12 patches cut from one gastric biopsy slide · 300 × 300 pixels each · scanned at ×20 · H&E stain.
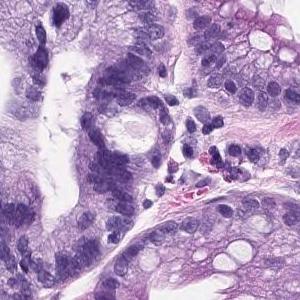
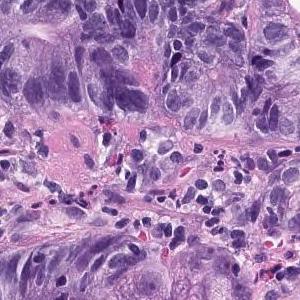
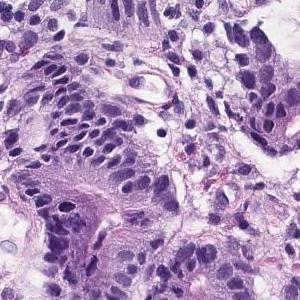
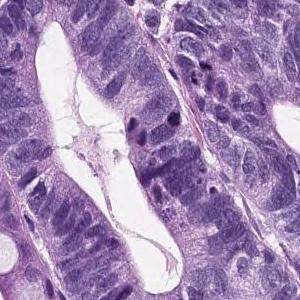
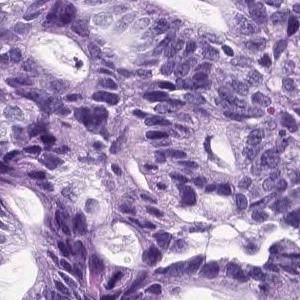
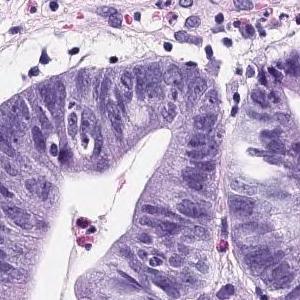
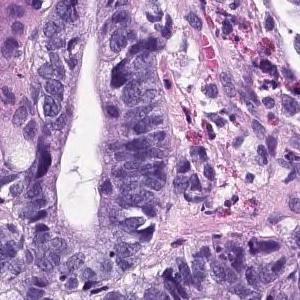
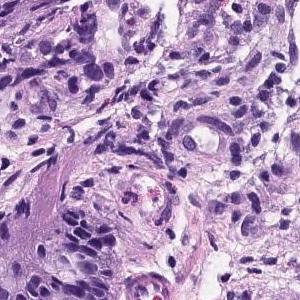
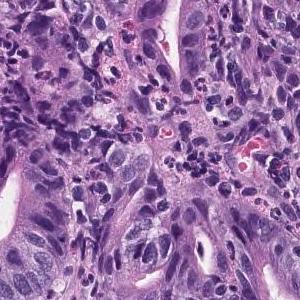
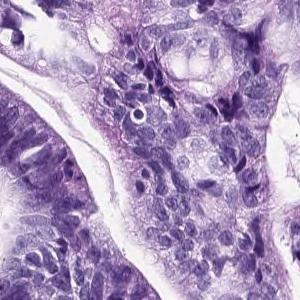
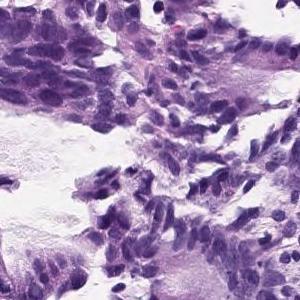
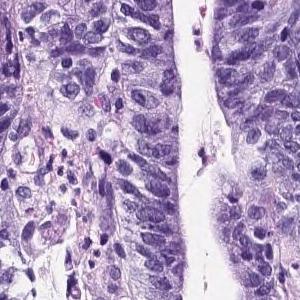
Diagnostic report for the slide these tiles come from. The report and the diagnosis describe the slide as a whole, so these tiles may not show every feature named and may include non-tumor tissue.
On the superficial epithelium, tumor tissue consisting of medium-sized to large-sized, round or irregular glandular duct growth images is observed. Well differentiated adenocarcinoma.
Classified as well differentiated tubular adenocarcinoma.
